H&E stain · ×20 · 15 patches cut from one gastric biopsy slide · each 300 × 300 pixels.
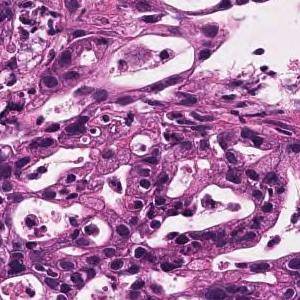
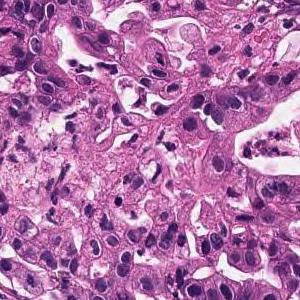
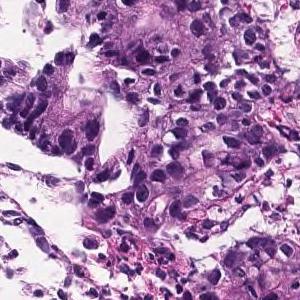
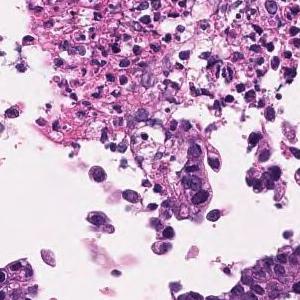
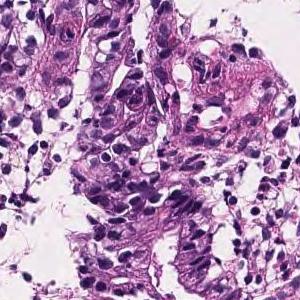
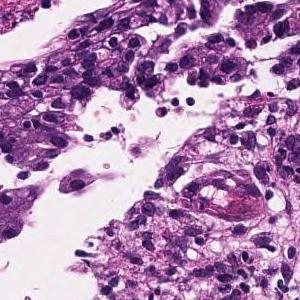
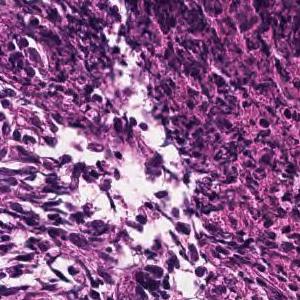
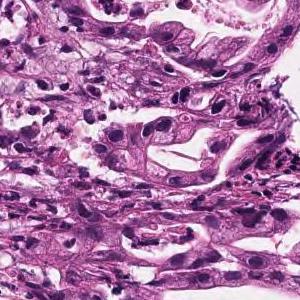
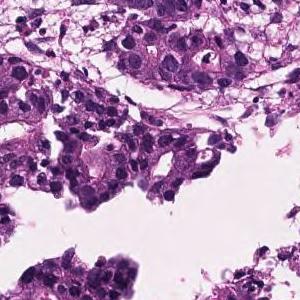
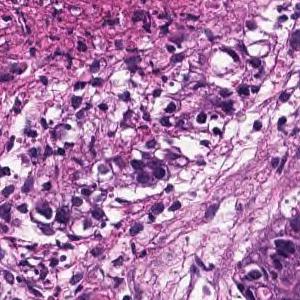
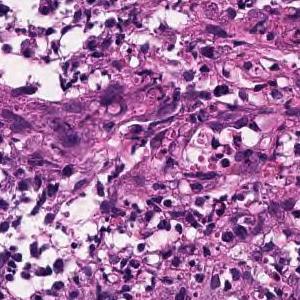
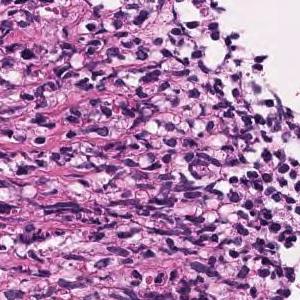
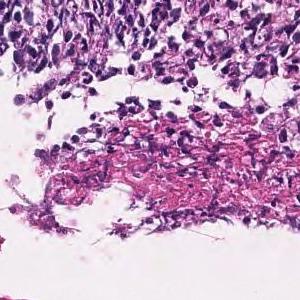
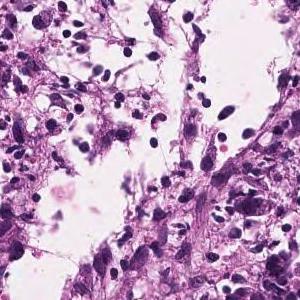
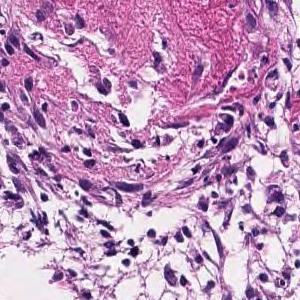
The pathologist's report on the biopsy slide these tiles were taken from. The report describes the whole slide, diagnosis included: not every finding it names need appear in these tiles, which may also show non-tumor tissue.
In the superficial epithelium, medium to small, irregular gland ducts are formed, and in some cases, the gland ducts are fused to show solid alveolar lesions and infiltrating tumor tissue is observed. Moderately to poorly differentiated adenocarcinoma.
